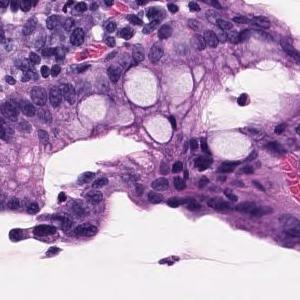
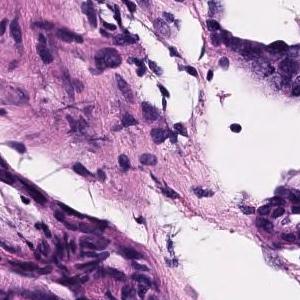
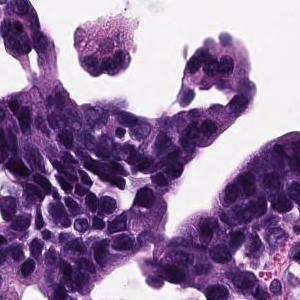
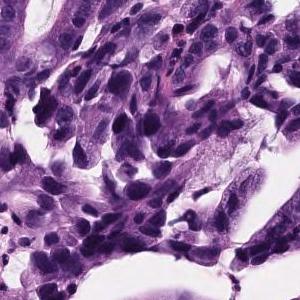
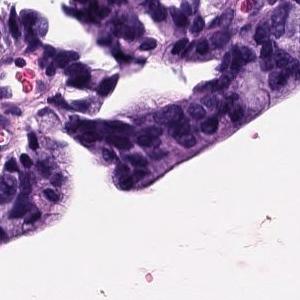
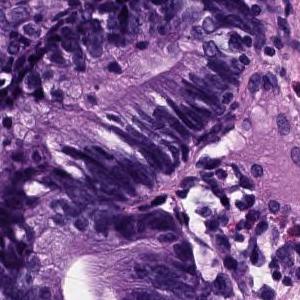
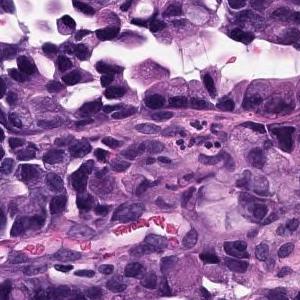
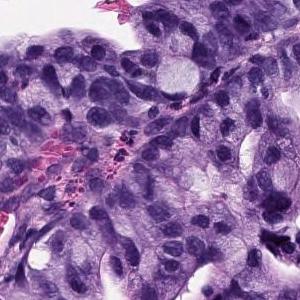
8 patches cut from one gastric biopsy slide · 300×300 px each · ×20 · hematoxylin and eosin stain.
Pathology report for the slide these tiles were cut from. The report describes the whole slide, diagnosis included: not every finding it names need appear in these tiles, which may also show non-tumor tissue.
Atypical epithelium proliferating showing villus construction and irregular gland duct construction is observed. Moderately differentiated tubular adenocarcinoma.
